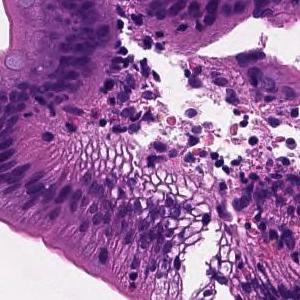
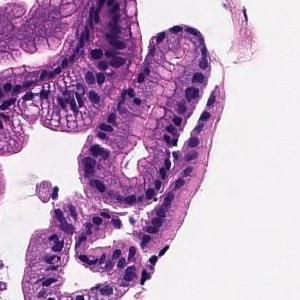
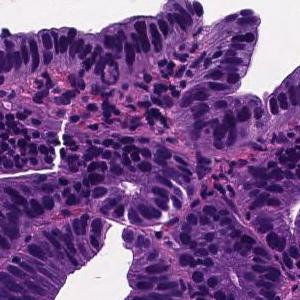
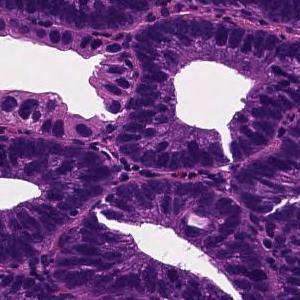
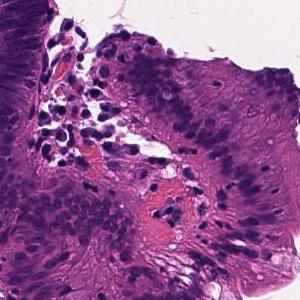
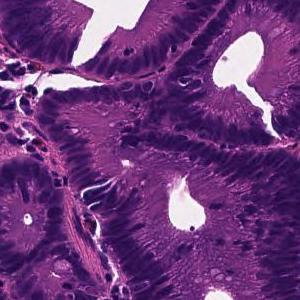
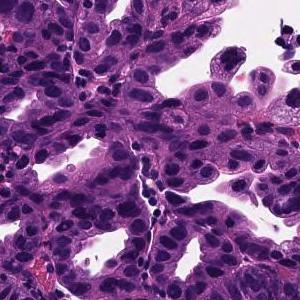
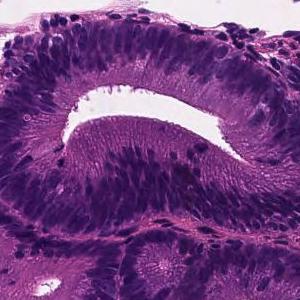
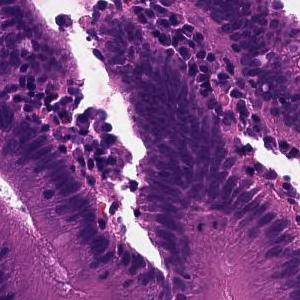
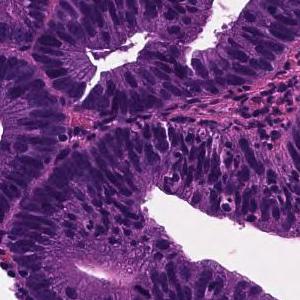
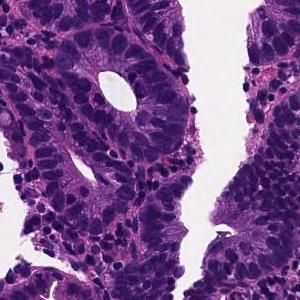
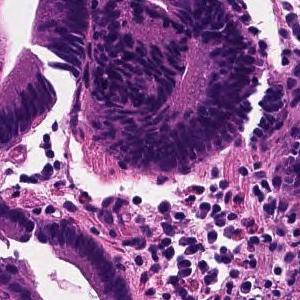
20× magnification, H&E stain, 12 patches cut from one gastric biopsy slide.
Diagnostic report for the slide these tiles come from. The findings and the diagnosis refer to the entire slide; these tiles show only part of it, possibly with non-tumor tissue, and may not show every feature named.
Tumor tissue in which medium to small irregular ducts infiltrate and proliferate in the submucosa can be seen in the epithelium. Well differentiated tubular adenocarcinoma
